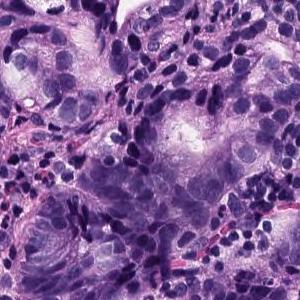
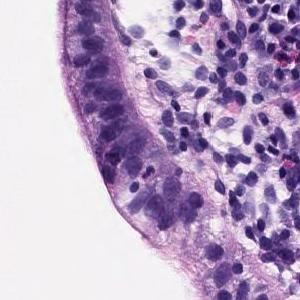
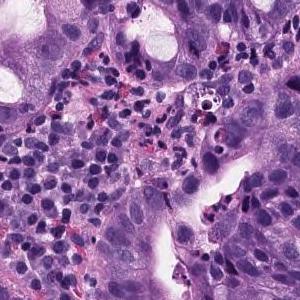
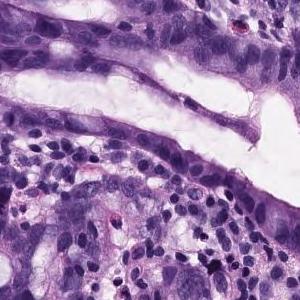
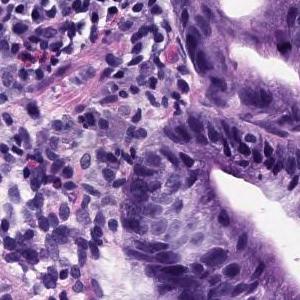
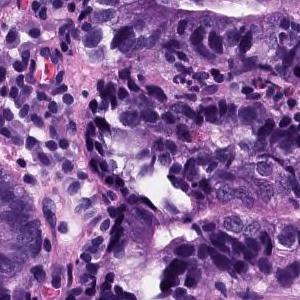
×20 · 6 tiles cut from one stomach biopsy slide.
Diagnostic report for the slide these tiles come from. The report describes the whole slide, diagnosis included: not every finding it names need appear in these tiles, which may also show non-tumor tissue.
Tumor cells with strong nuclear atypia proliferate invasively, forming small to medium-sized irregular shaped ducts. moderately differentiated tubular adenocarcinoma
